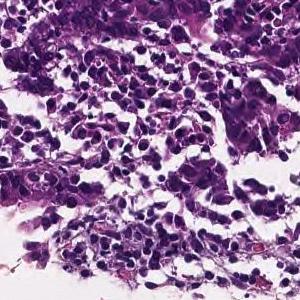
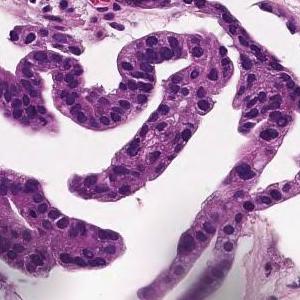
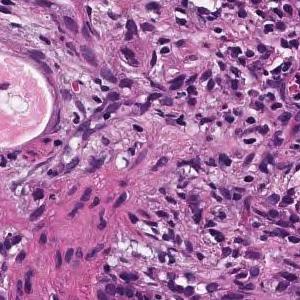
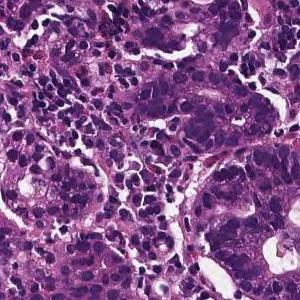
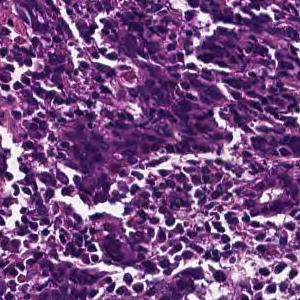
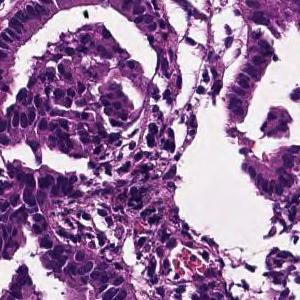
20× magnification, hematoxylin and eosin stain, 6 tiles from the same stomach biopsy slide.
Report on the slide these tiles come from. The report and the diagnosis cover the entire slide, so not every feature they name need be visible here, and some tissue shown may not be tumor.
Tumor tissue consisting of medium-sized, cord-like or irregular glandular infiltration is observed in the superficial epithelium. Poorly differentiated adenocarcinoma, non-solid type or moderately differentiated tubular adenocarcinoma
Tumor subtype: moderately to poorly differentiated adenocarcinoma.
The non-solid type named here is a Japanese Classification of Gastric Carcinoma category.
